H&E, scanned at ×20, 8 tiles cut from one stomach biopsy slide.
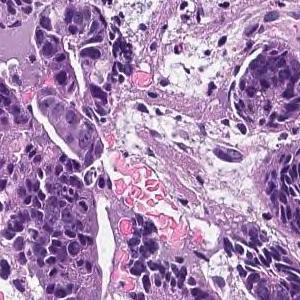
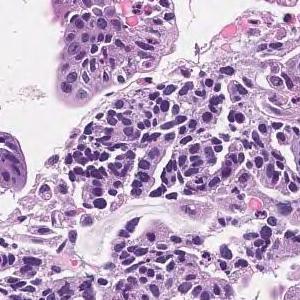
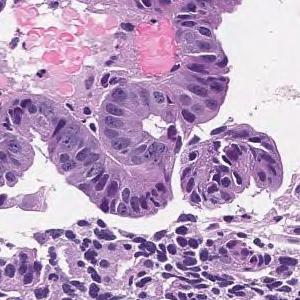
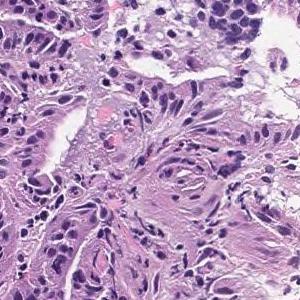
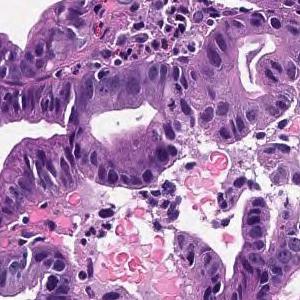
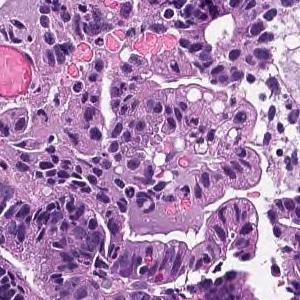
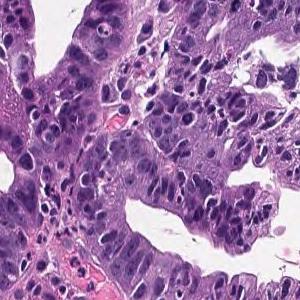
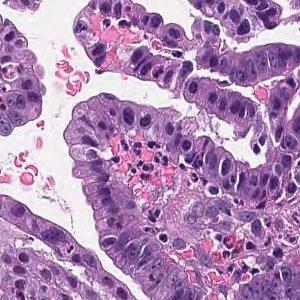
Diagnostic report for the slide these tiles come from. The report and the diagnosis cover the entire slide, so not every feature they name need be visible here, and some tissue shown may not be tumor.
Tumor cells are large, highly columnar, large club-shaped nuclei, and are associated with chromatin aggregation. Papillary adenocarcinoma.
